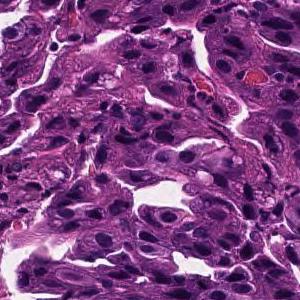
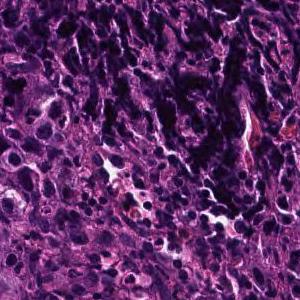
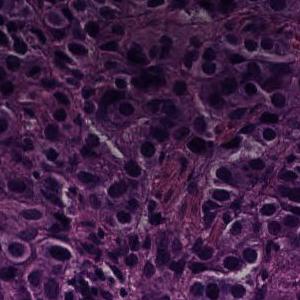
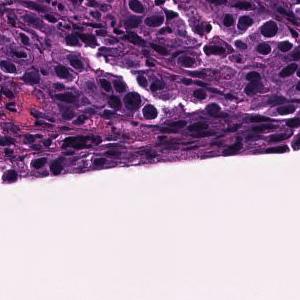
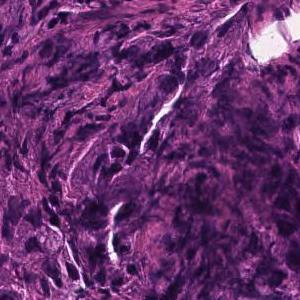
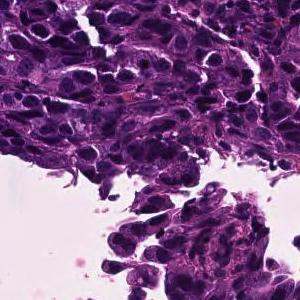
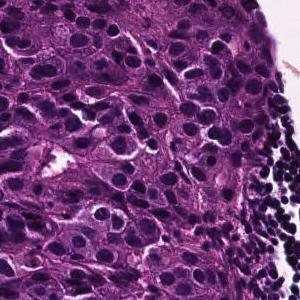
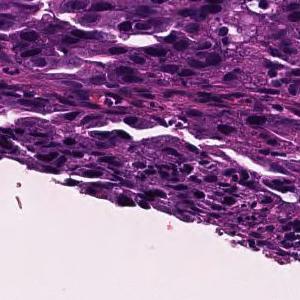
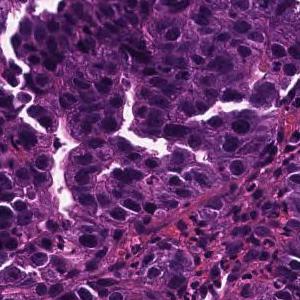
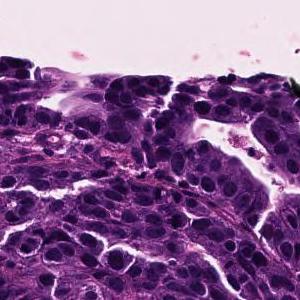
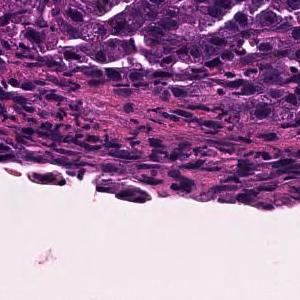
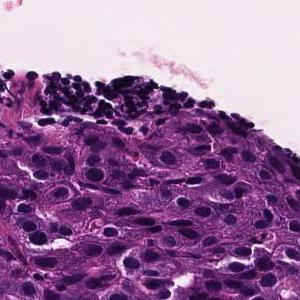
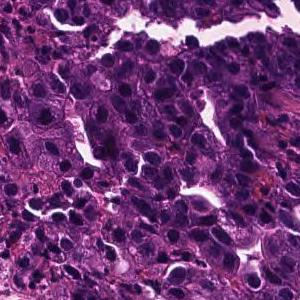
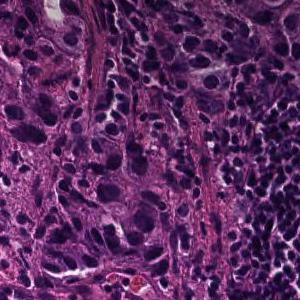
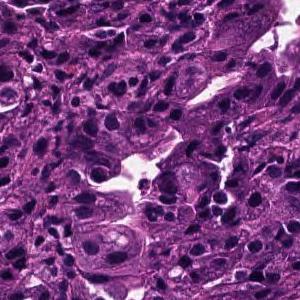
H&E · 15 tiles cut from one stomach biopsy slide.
The pathologist's report on the biopsy slide these tiles were taken from. Both the report and the diagnosis are for the whole slide: these tiles need not show every feature named, and some of the tissue shown may not be tumor.
Tumor tissue consisting of medium-sized, cord-like or irregular glandular fusion and infiltration is observed in the superficial epithelium. Poorly differentiated adenocarcinoma, non-solid type or moderately differentiated tubular adenocarcinoma
Subtype: Moderately to poorly differentiated adenocarcinoma.
The non-solid type named here is a Japanese Classification of Gastric Carcinoma category.
